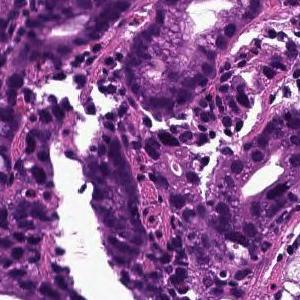
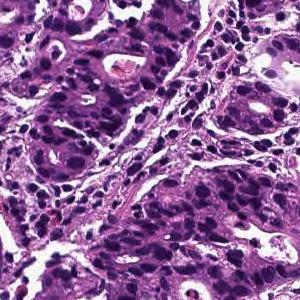
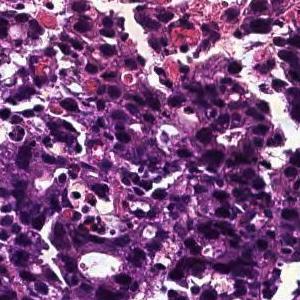
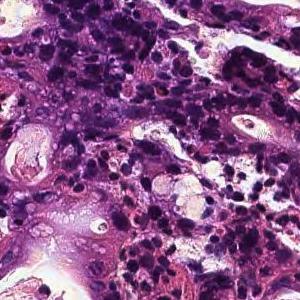
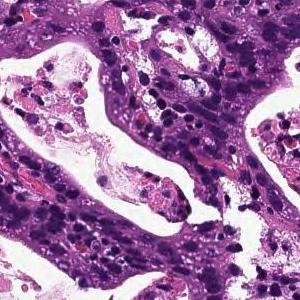
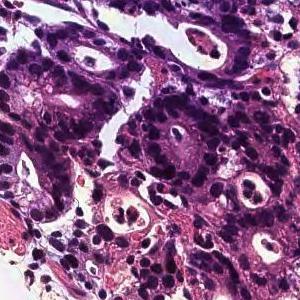
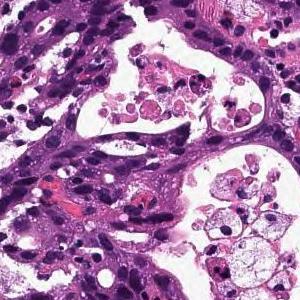
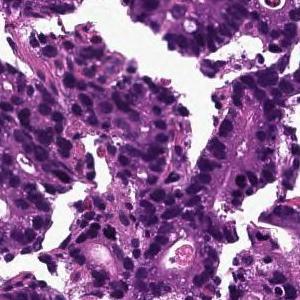
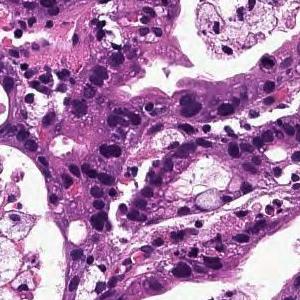
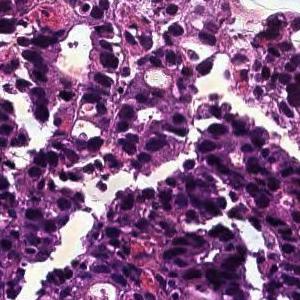
10 tiles cut from one stomach biopsy slide · each 300 × 300 pixels · scanned at ×20 · H&E stain.
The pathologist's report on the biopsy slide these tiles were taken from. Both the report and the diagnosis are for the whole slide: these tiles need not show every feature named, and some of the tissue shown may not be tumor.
In the superficial epithelium, tumor tissue that invades by forming medium-sized to small, irregular ducts is observed. moderately differentiated tubular adenocarcinoma.
